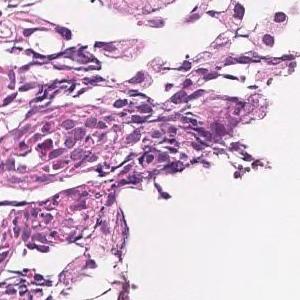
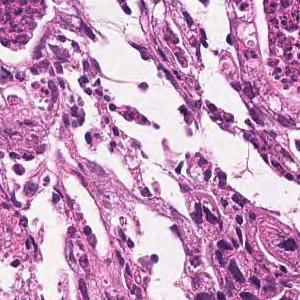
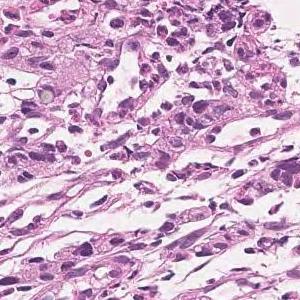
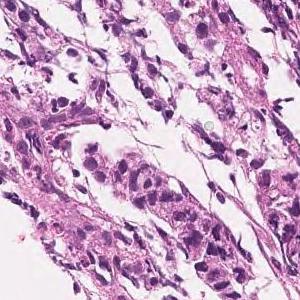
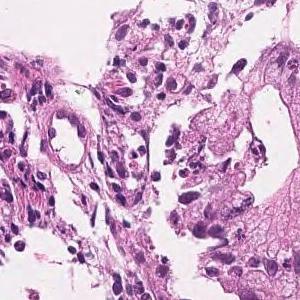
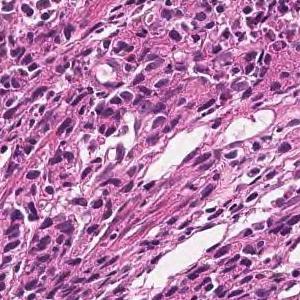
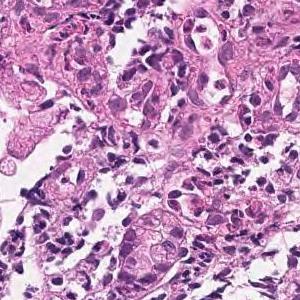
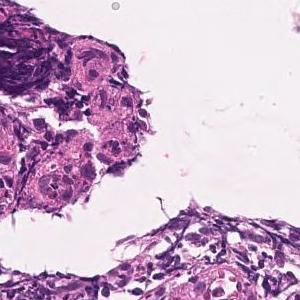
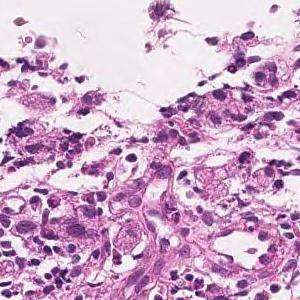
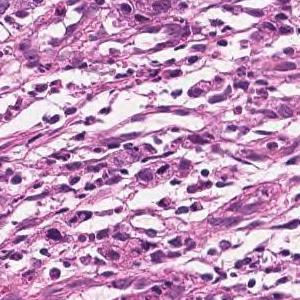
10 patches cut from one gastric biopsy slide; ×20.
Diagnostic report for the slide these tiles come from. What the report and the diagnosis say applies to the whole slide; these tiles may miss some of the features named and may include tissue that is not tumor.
In the superficial epithelium, medium to small, irregular glandular ducts are formed, and in some parts, the glandular ducts are fused, and in other parts, small cord-like infiltrating tumor tissue is observed. Moderately to poorly differentiated adenocarcinoma.
